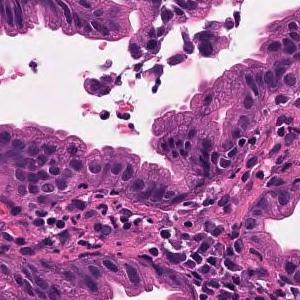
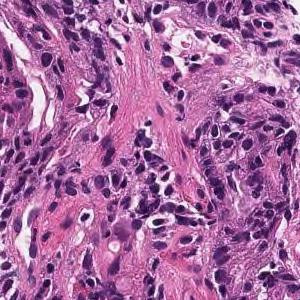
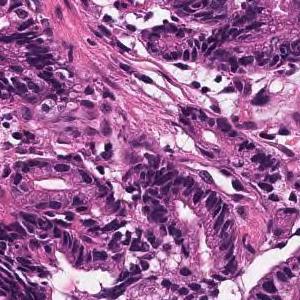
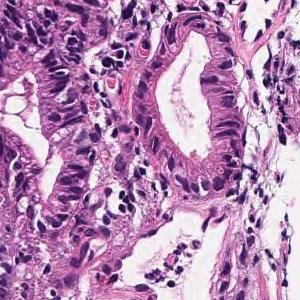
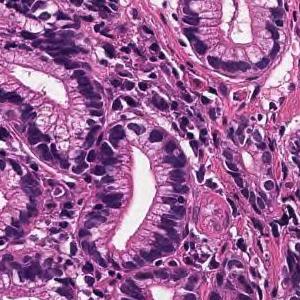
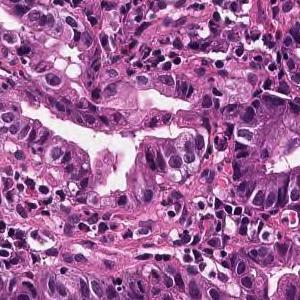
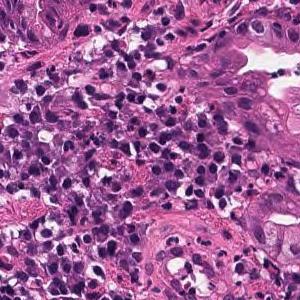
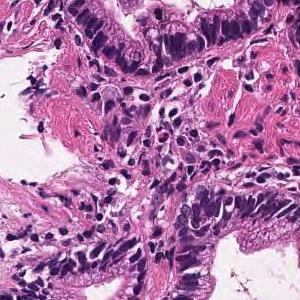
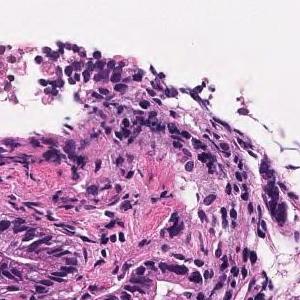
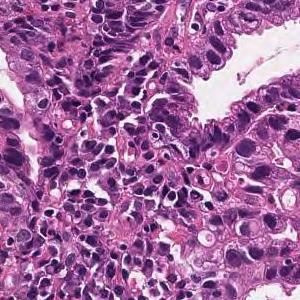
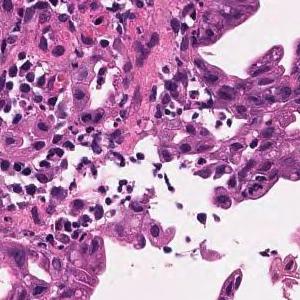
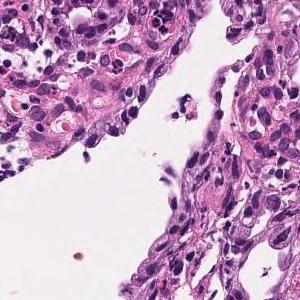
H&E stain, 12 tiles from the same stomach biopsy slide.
Pathology report for the slide these tiles were cut from. The report and the diagnosis cover the entire slide, so not every feature they name need be visible here, and some tissue shown may not be tumor.
Tumor tissue in which medium to small irregular ducts infiltrate and proliferate in the submucosa can be seen in the epithelium. Well differentiated tubular adenocarcinoma
